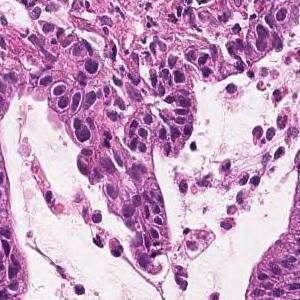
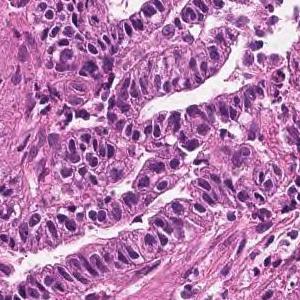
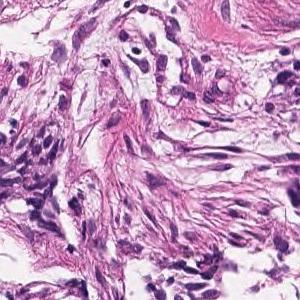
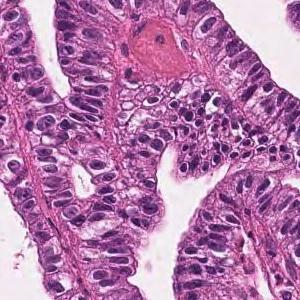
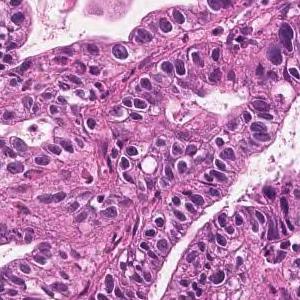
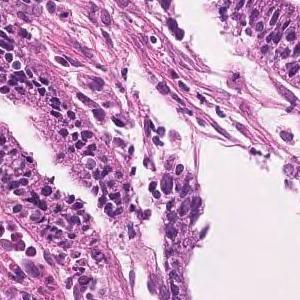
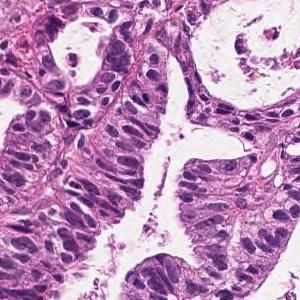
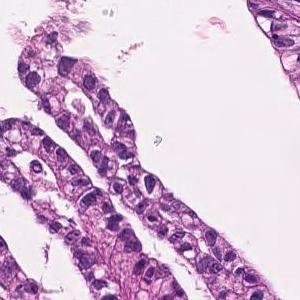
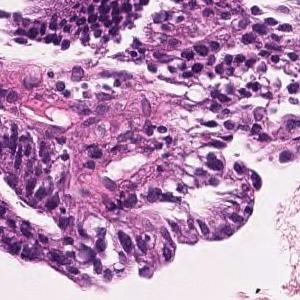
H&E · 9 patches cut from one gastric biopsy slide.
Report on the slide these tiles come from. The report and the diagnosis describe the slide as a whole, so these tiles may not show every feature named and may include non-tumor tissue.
Tumor cells are large, highly columnar, large club-shaped nuclei, and are associated with chromatin aggregation. Papillary adenocarcinoma.
